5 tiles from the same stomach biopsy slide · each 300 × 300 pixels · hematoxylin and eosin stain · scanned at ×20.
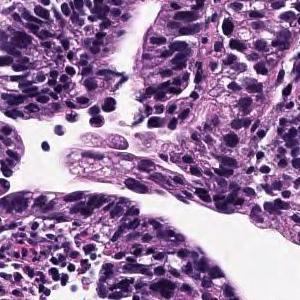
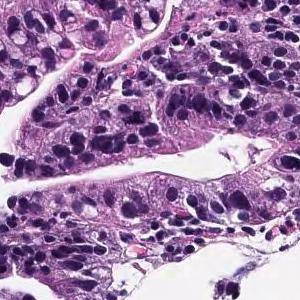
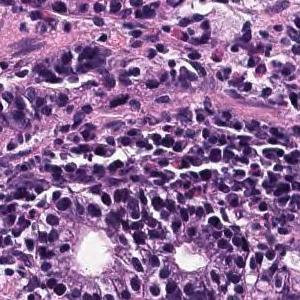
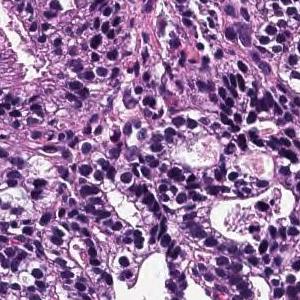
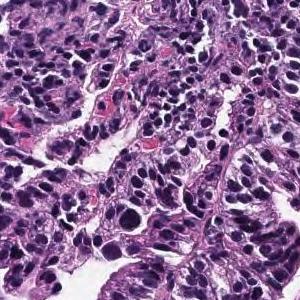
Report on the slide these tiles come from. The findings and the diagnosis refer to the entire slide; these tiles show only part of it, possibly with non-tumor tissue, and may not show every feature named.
Neoplastic cells with atypical nuclei of different sizes exhibit tubular glands and infiltrate and proliferate. Moderately differentiated tubular adenocarcinoma.
